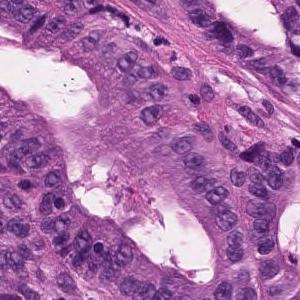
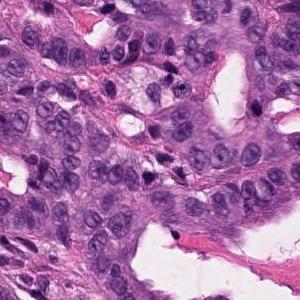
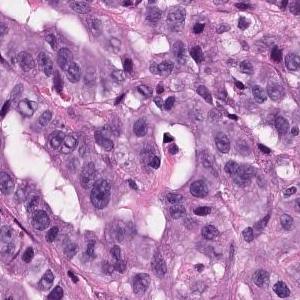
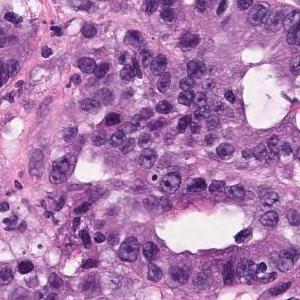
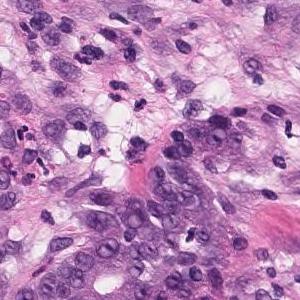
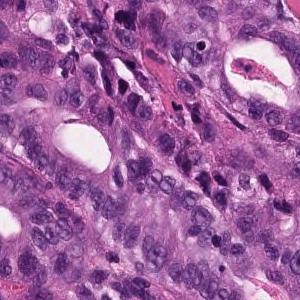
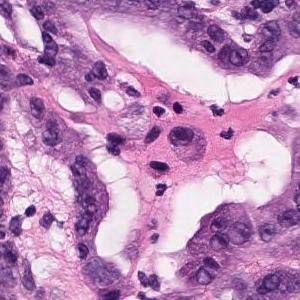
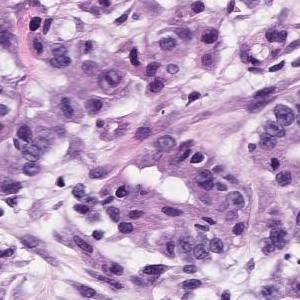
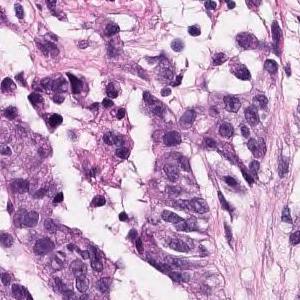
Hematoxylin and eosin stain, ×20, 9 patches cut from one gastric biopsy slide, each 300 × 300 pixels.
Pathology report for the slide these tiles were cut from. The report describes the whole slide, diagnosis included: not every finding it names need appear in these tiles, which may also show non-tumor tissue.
In the superficial epithelium, tumor tissue that invades by forming medium-sized to small, irregular ducts is observed. Moderately differentiated adenocarcinoma.
Histologic type: Moderately differentiated tubular adenocarcinoma.
